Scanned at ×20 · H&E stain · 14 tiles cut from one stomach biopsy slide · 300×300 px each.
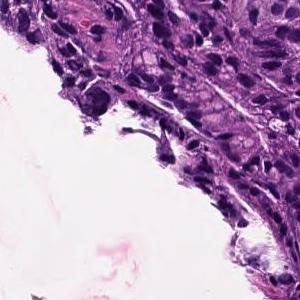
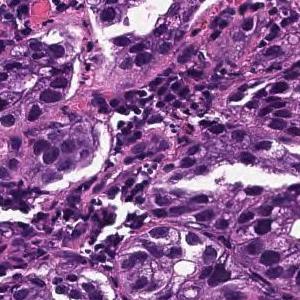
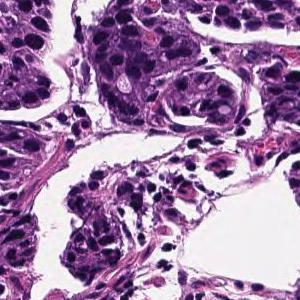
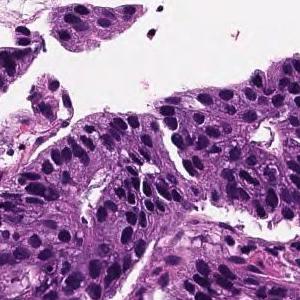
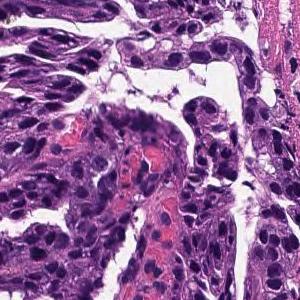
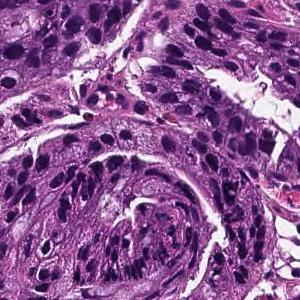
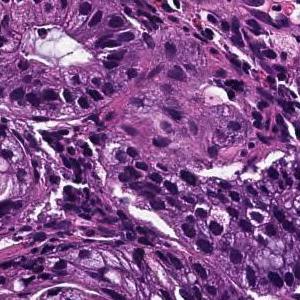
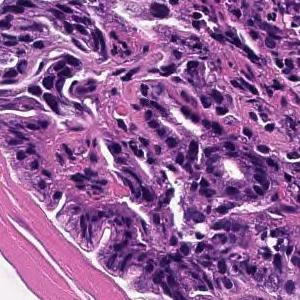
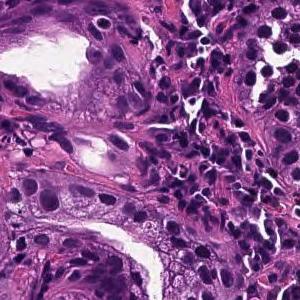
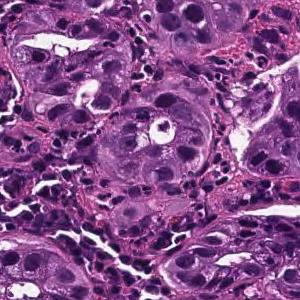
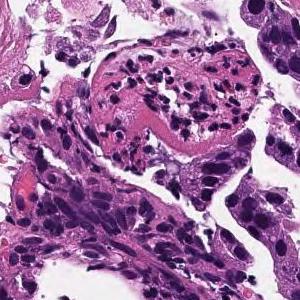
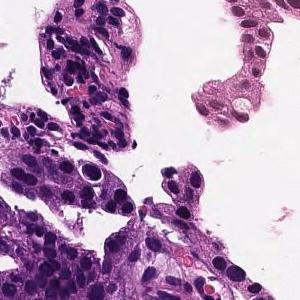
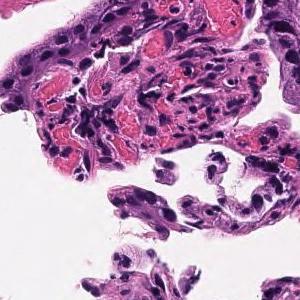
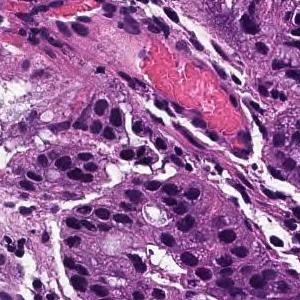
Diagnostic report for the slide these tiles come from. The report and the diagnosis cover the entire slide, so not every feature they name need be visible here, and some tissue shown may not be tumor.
In the superficial epithelium, tumor tissue that invades by forming medium-sized to small, irregular ducts is observed. moderately differentiated tubular adenocarcinoma.
